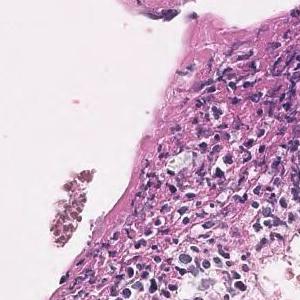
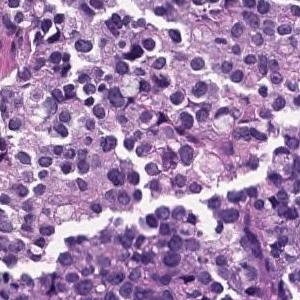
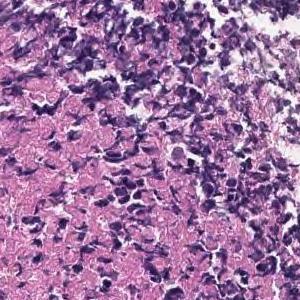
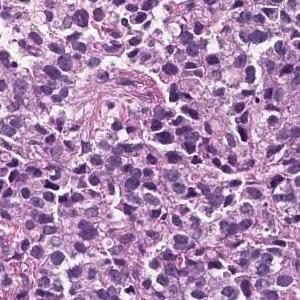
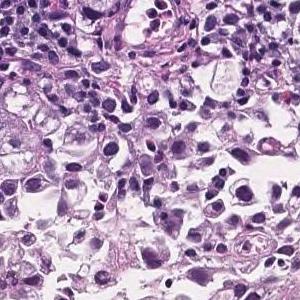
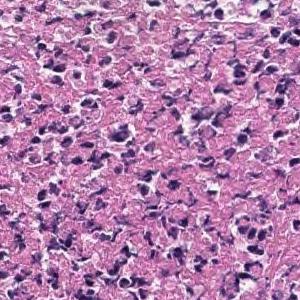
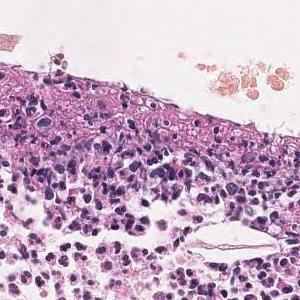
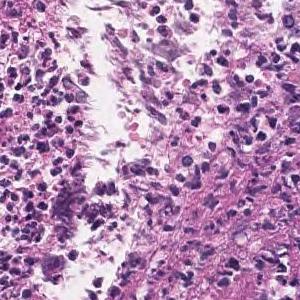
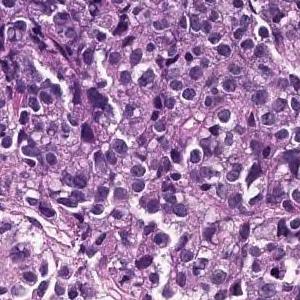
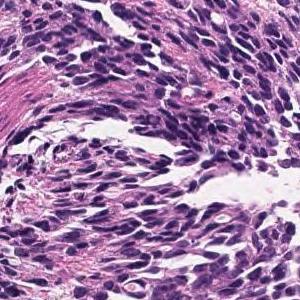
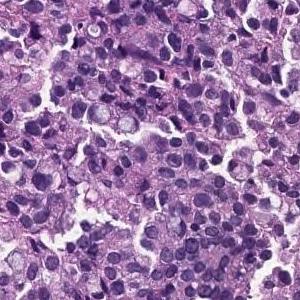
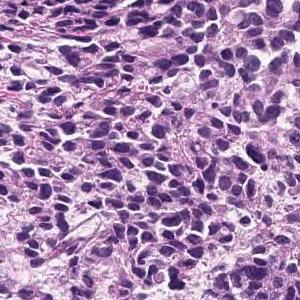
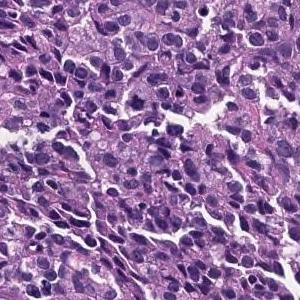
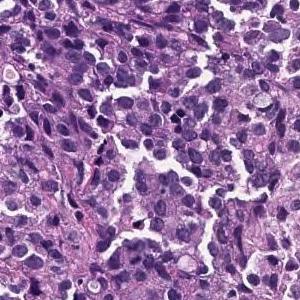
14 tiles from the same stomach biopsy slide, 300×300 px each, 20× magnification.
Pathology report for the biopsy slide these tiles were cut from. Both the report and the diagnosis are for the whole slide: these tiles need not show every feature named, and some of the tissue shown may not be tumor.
The superficial epithelium shows a large sheet-like shape, and some tumor tissue infiltrates with small irregular ducts. Poorly differentiated adenocarcinoma, solid-type
Tumor subtype: poorly differentiated adenocarcinoma, solid type (Japanese Classification of Gastric Carcinoma). The WHO 2019 equivalent is tubular adenocarcinoma, poorly differentiated.
